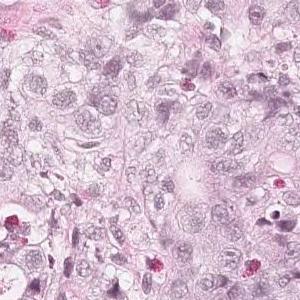
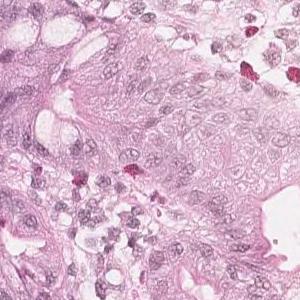
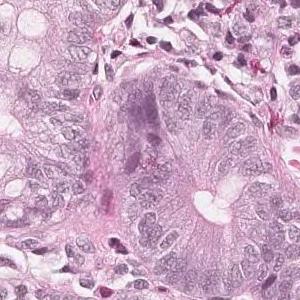
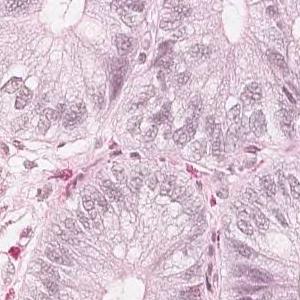
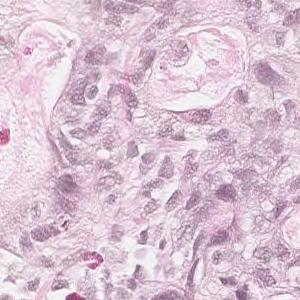
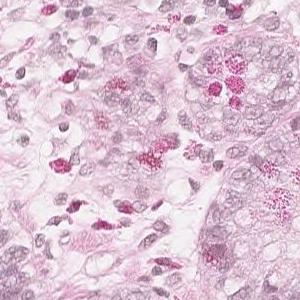
6 patches cut from one gastric biopsy slide · each 300 × 300 pixels · ×20.
Pathology report for the slide these tiles were cut from. Both the report and the diagnosis are for the whole slide: these tiles need not show every feature named, and some of the tissue shown may not be tumor.
Medium to small, irregular glandular ducts are formed in the superficial epithelium, and in some cases, the glandular ducts are fused to show solid alveolar lesions and infiltrating tumor tissue is observed. Moderately to poorly differentiated adenocarcinoma.
